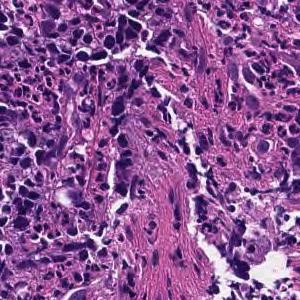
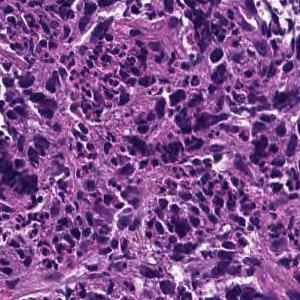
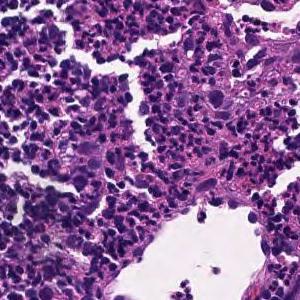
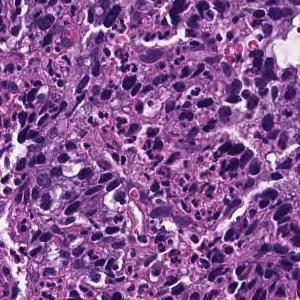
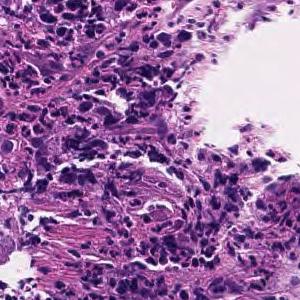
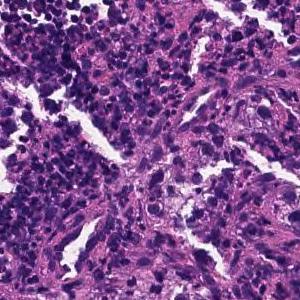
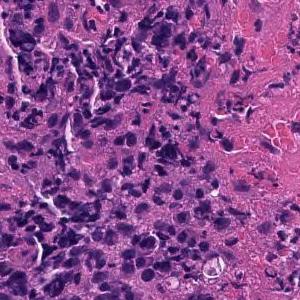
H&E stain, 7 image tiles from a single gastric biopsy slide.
Pathology report for the biopsy slide these tiles were cut from. The report and the diagnosis cover the entire slide, so not every feature they name need be visible here, and some tissue shown may not be tumor.
Tumor tissue consisting of cord-like or small, irregular glandular ducts fused and infiltrated is observed in the superficial epithelium. Poorly differentiated adenocarcinoma, non-solid type
"Non-solid type" is a category of the Japanese Classification of Gastric Carcinoma.
